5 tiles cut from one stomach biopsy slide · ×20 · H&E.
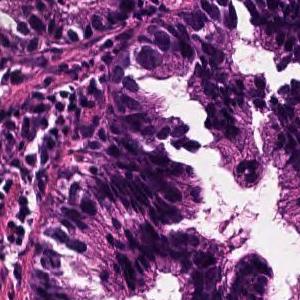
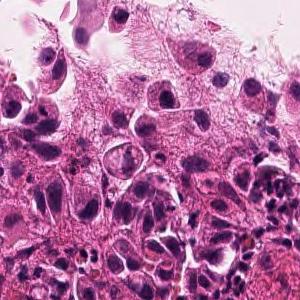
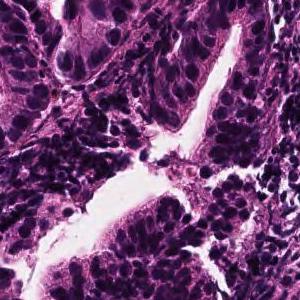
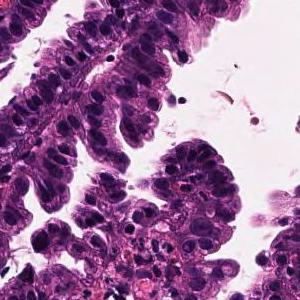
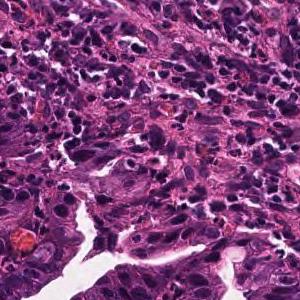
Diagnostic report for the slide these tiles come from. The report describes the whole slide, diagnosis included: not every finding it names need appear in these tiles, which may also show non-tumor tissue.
Tumor tissue consisting of large papillary structures is found in the superficial epithelium. Papillary adenocarcinoma.
